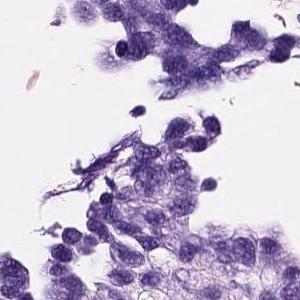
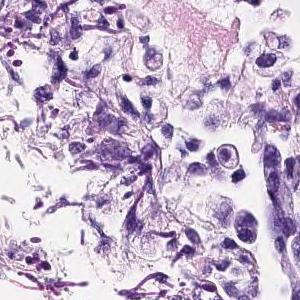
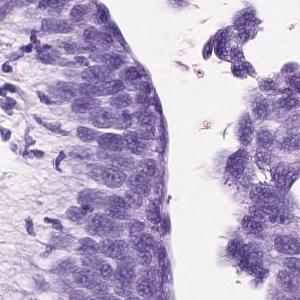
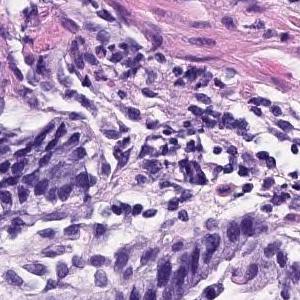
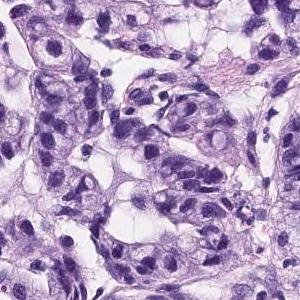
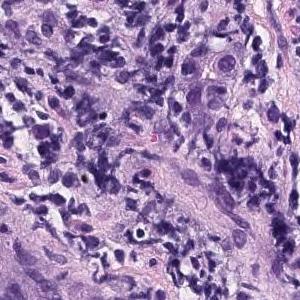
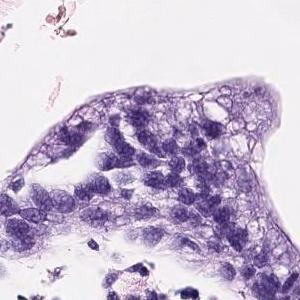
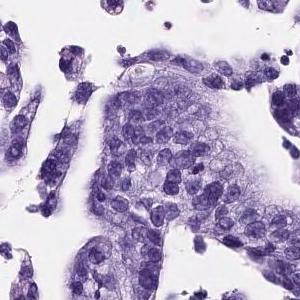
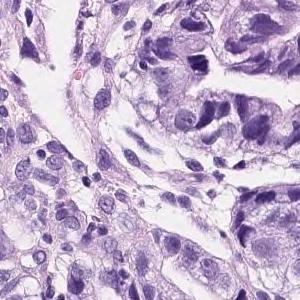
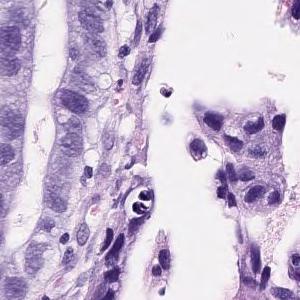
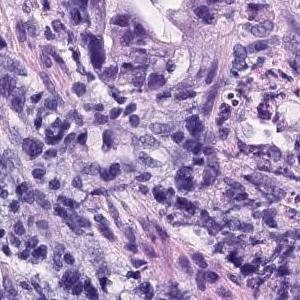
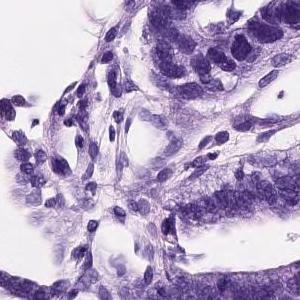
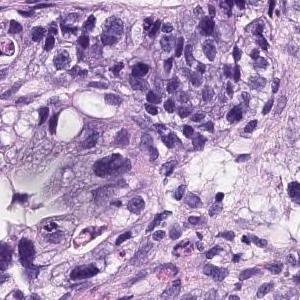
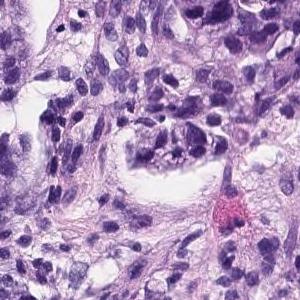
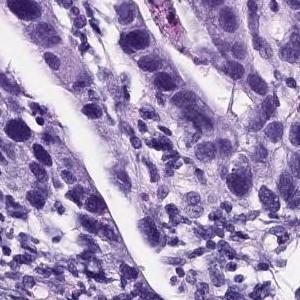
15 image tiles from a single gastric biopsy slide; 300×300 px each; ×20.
Report on the slide these tiles come from. The report describes the whole slide, diagnosis included: not every finding it names need appear in these tiles, which may also show non-tumor tissue.
On the superficial epithelium, tumor tissue consisting of medium to small irregular tubules partially fused and proliferated is observed. moderately differentiated tubular adenocarcinoma
